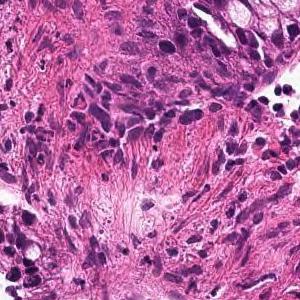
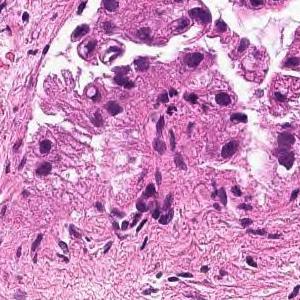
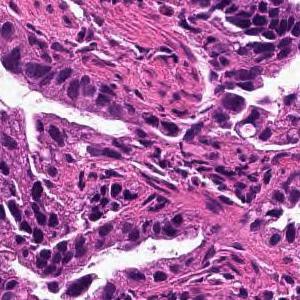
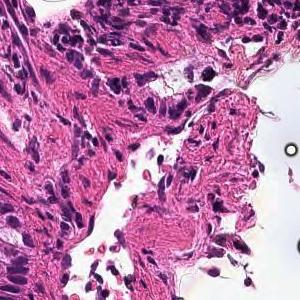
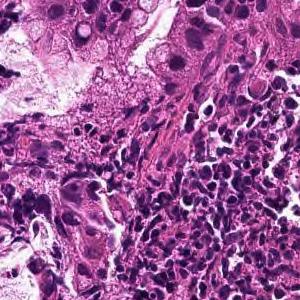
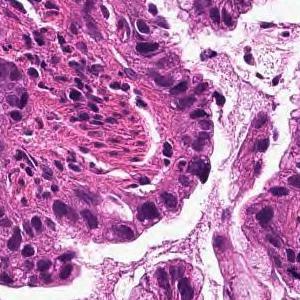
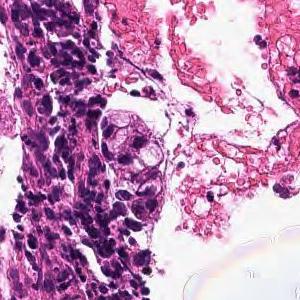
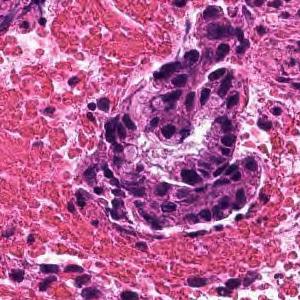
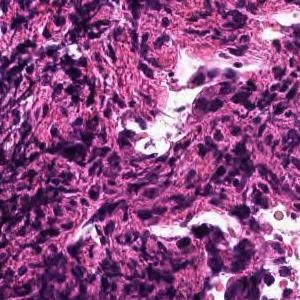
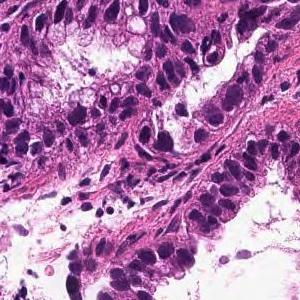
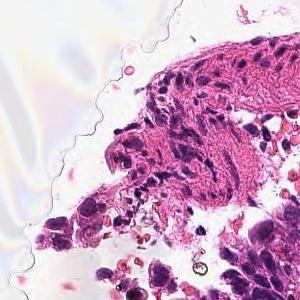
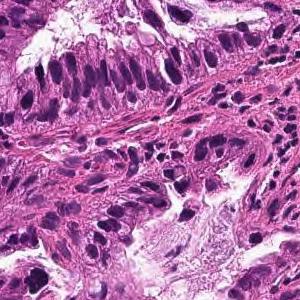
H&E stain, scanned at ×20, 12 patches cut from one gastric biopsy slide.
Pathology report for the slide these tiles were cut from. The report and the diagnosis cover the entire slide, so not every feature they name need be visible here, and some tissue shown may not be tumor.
From the superficial epithelium to the muscularis mucosae, tumor tissue infiltrating by forming medium-sized irregular gland ducts is observed. Well differentiated tubular adenocarcinoma
